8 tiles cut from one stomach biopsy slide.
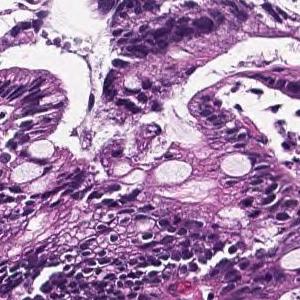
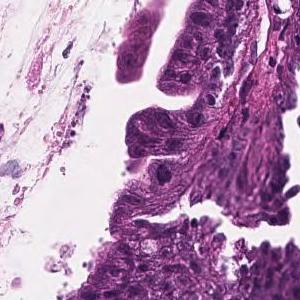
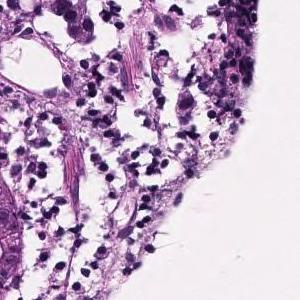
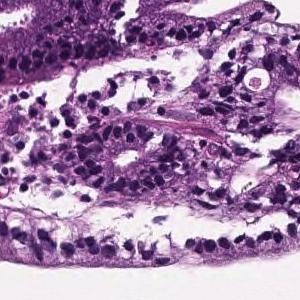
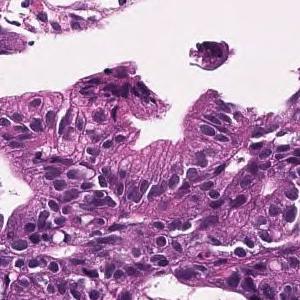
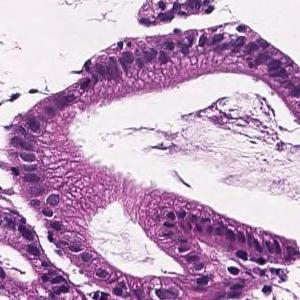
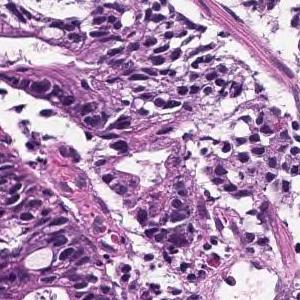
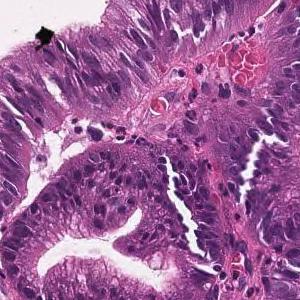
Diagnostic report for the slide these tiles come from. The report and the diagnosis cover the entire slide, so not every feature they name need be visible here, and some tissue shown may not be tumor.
In the superficial epithelium, tumor tissue that invades by forming medium-sized to small, irregular ducts is observed. Well differentiated tubular adenocarcinoma.
